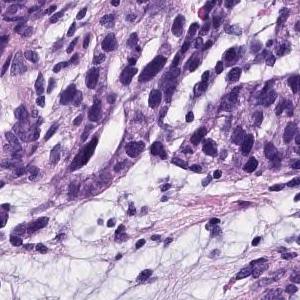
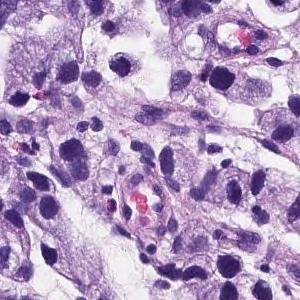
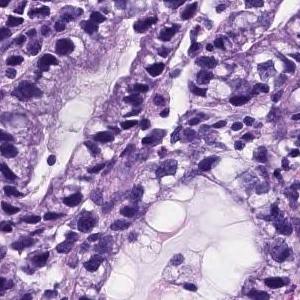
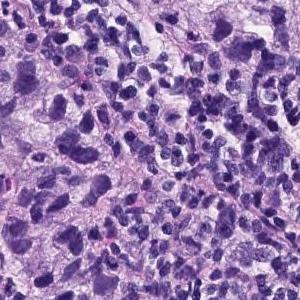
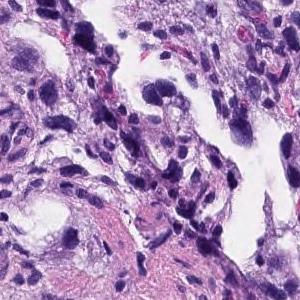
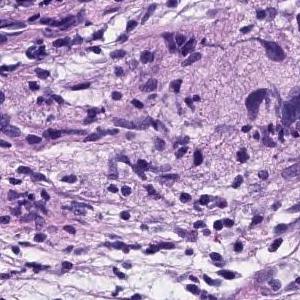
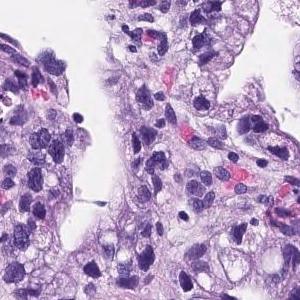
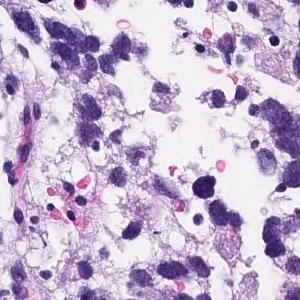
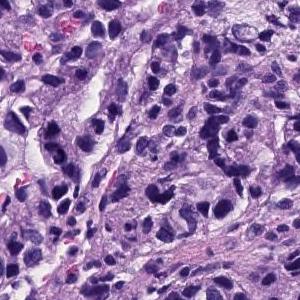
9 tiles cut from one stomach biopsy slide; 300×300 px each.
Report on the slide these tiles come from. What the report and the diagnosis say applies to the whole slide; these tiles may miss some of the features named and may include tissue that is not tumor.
Medium to small, irregular glandular ducts are formed in the superficial epithelium, and in some cases, the glandular ducts are fused to show solid alveolar lesions and infiltrating tumor tissue is observed. Poorly differentiated adenocarcinoma, Moderately differentiated adenocarcinoma.
Labeled in the dataset as moderately differentiated tubular adenocarcinoma.
